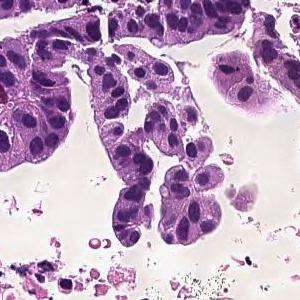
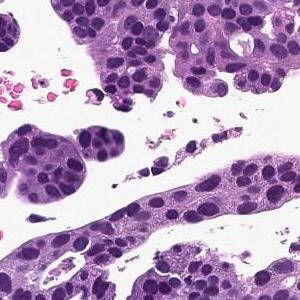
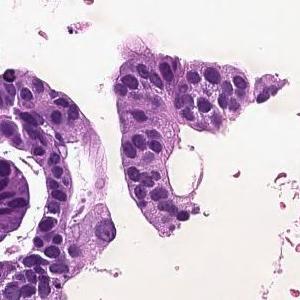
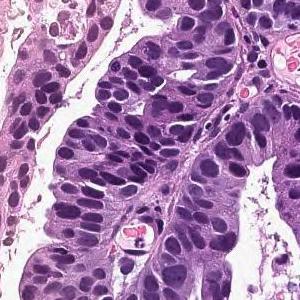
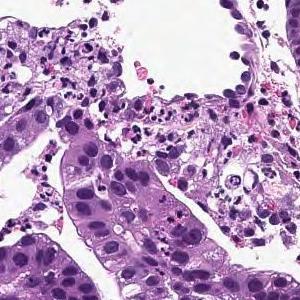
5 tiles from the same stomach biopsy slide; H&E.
Report on the slide these tiles come from. The report describes the whole slide, diagnosis included: not every finding it names need appear in these tiles, which may also show non-tumor tissue.
Tumor cells are large, highly columnar, large club-shaped nuclei, and are associated with chromatin aggregation. Papillary adenocarcinoma.
